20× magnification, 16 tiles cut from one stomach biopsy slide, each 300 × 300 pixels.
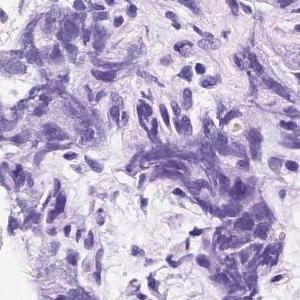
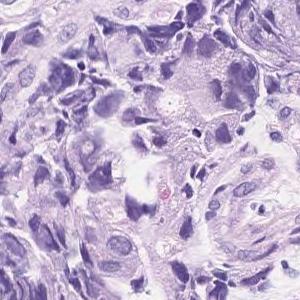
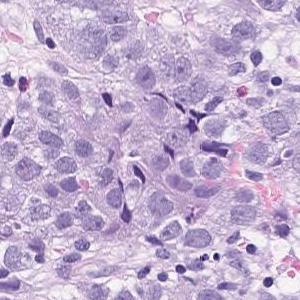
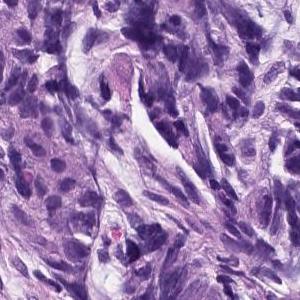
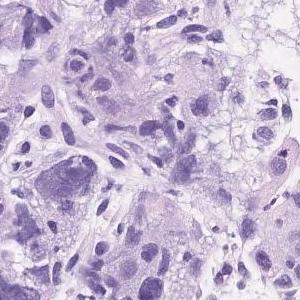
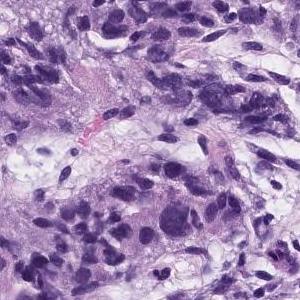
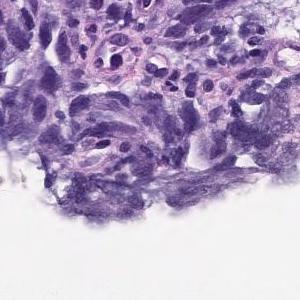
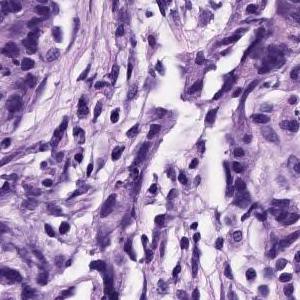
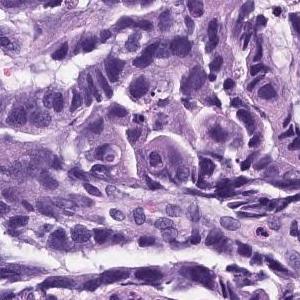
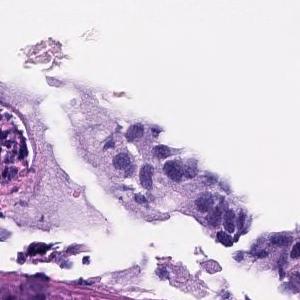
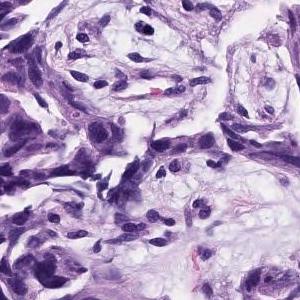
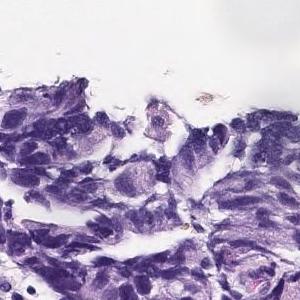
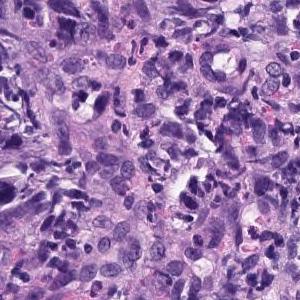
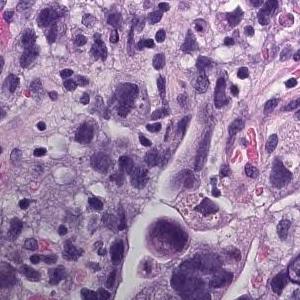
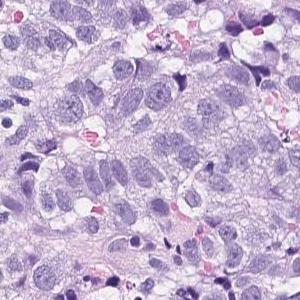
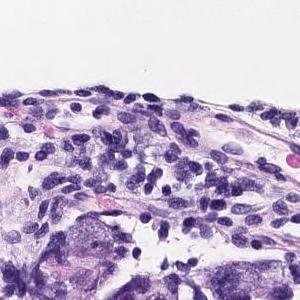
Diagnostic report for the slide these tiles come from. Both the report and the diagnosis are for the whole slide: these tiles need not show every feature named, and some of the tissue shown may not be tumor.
Atypical epithelial cells with an increased N/C ratio proliferate and consist of a part that shows the formation of gland ducts and a part that shows solid growth. Poorly differentiated adenocarcinoma, solid-type
Histologic type: Poorly differentiated adenocarcinoma, solid type, a category of the Japanese Classification of Gastric Carcinoma; in the WHO 2019 classification it is tubular adenocarcinoma, poorly differentiated.
